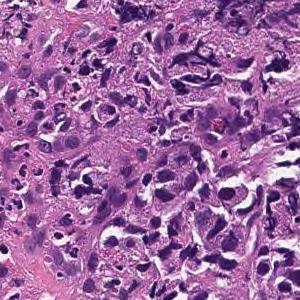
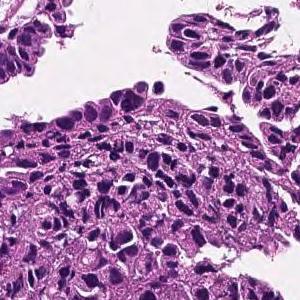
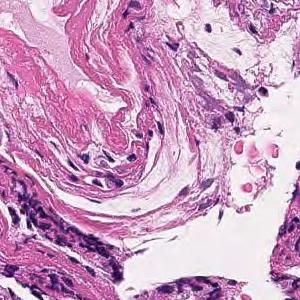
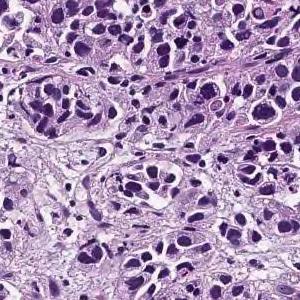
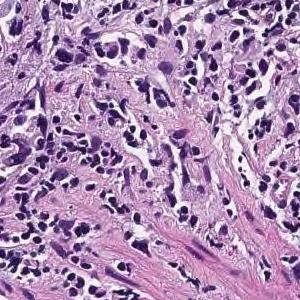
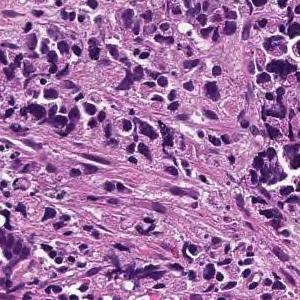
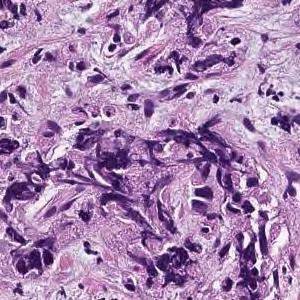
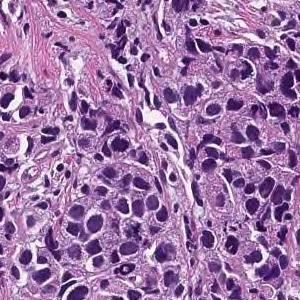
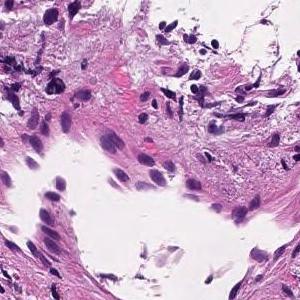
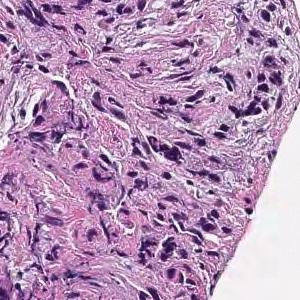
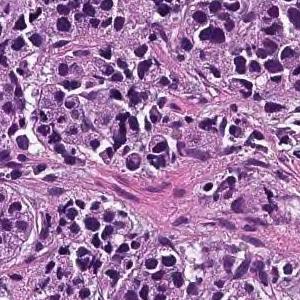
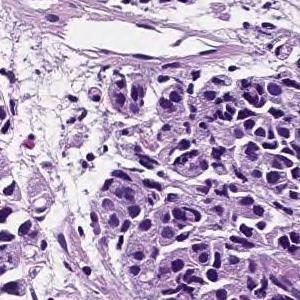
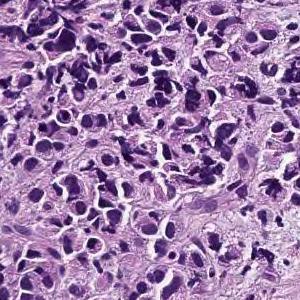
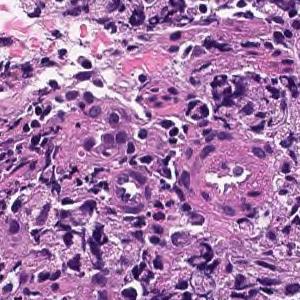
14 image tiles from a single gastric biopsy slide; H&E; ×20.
Pathology report for the slide these tiles were cut from. The report and the diagnosis describe the slide as a whole, so these tiles may not show every feature named and may include non-tumor tissue.
The lamina propria shows small cord-like tumor tissue that infiltrates with fibrosis and marked chronic inflammatory cell infiltration. Poorly differentiated adenocarcinoma, non-solid type
The term "non-solid type" comes from the Japanese Classification of Gastric Carcinoma.
